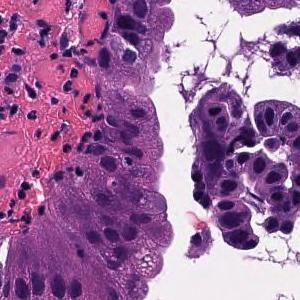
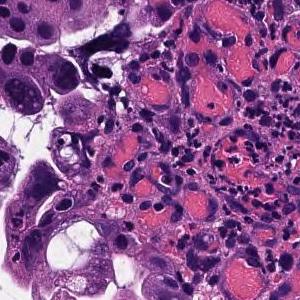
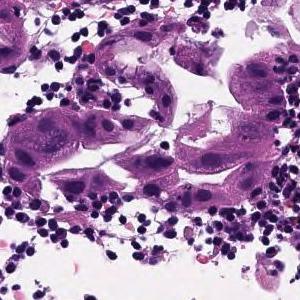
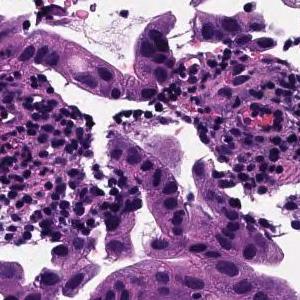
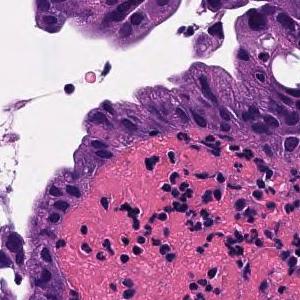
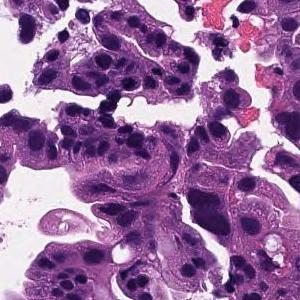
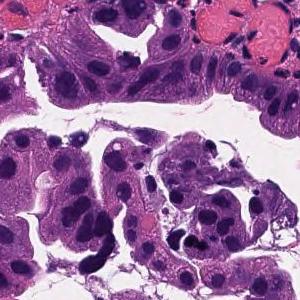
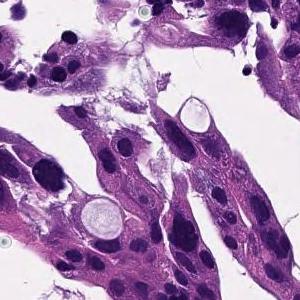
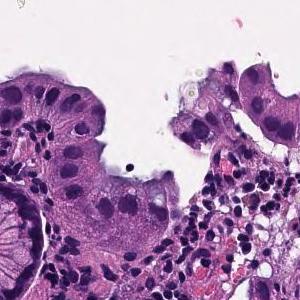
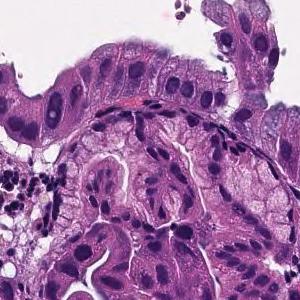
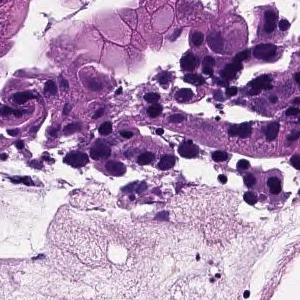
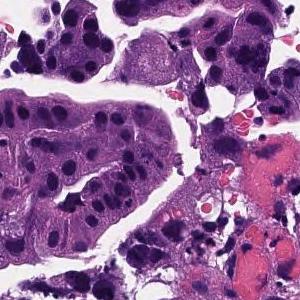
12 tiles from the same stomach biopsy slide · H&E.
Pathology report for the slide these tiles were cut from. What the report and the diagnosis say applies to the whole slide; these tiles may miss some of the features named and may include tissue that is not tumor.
Tumor tissue consisting of large papillary structures is found in the superficial epithelium. Papillary adenocarcinoma.
